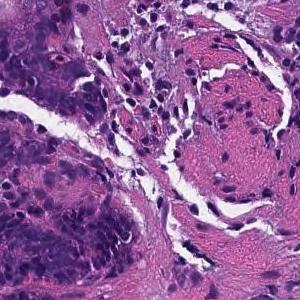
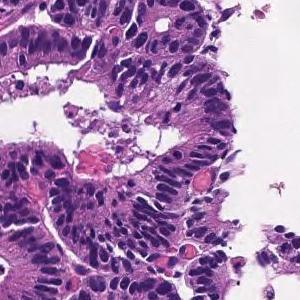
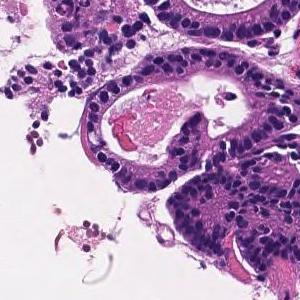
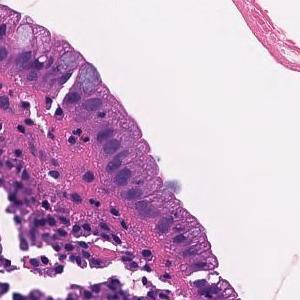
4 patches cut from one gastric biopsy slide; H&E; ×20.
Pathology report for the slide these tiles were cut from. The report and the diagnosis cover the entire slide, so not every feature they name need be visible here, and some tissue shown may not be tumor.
From the superficial epithelium to the muscularis mucosae, tumor tissue consisting of medium-sized and irregular glandular ducts infiltrating is observed. Well differentiated tubular adenocarcinoma
